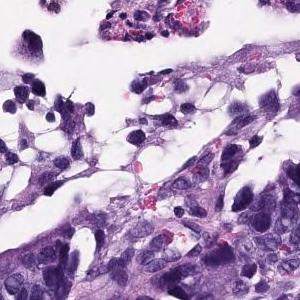
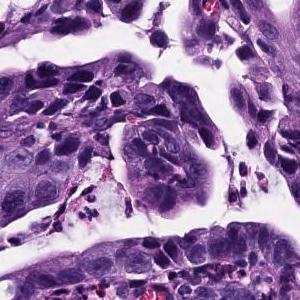
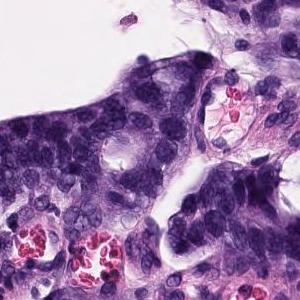
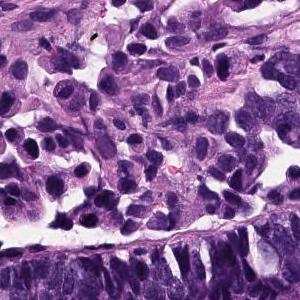
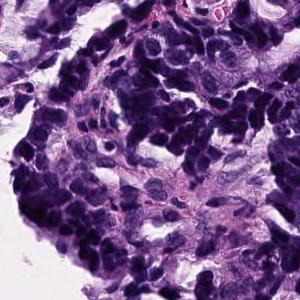
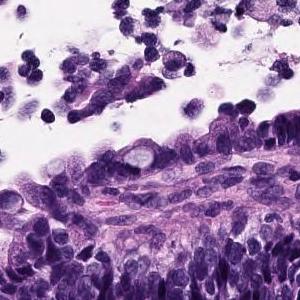
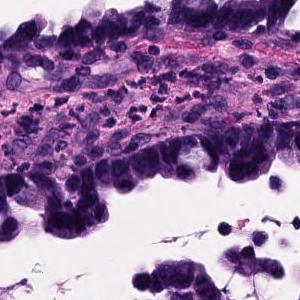
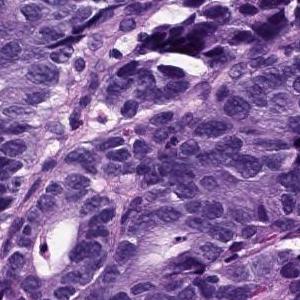
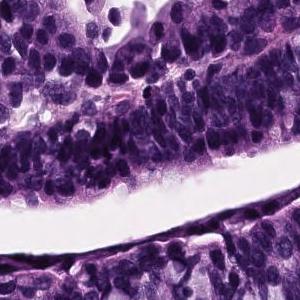
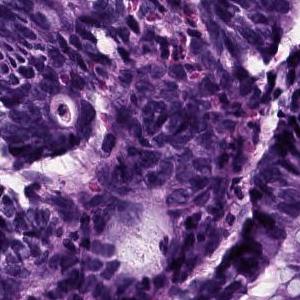
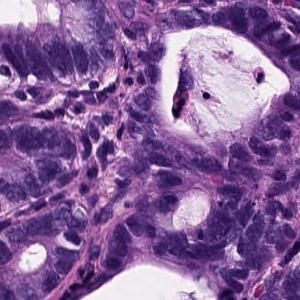
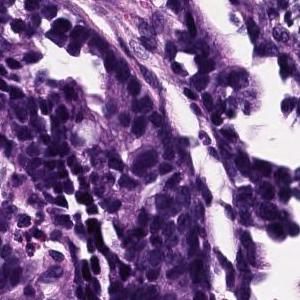
H&E · scanned at ×20 · 12 tiles from the same stomach biopsy slide · each 300 × 300 pixels.
The pathologist's report on the biopsy slide these tiles were taken from. What the report and the diagnosis say applies to the whole slide; these tiles may miss some of the features named and may include tissue that is not tumor.
Atypical epithelium proliferating showing villus construction and irregular gland duct construction is observed. Moderately differentiated tubular adenocarcinoma.
